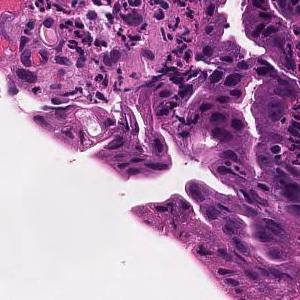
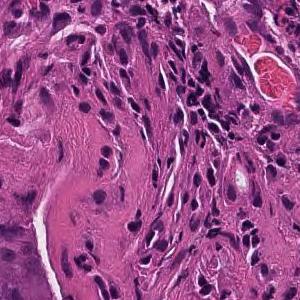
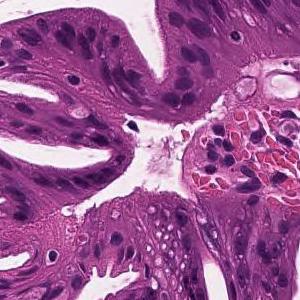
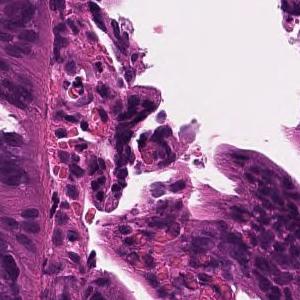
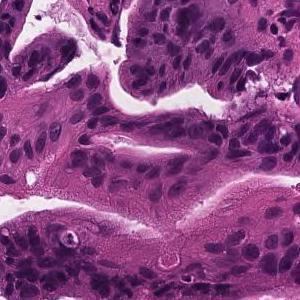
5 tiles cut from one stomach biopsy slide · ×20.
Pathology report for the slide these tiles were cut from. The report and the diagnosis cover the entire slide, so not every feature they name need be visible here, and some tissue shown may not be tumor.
Tumor cells are large, highly columnar, large club-shaped nuclei, and are associated with chromatin aggregation. Papillary adenocarcinoma.
